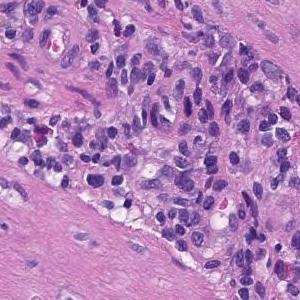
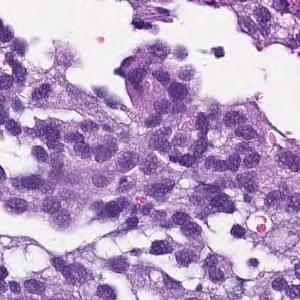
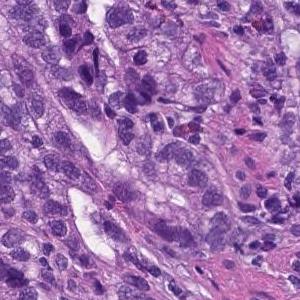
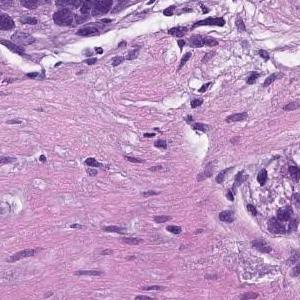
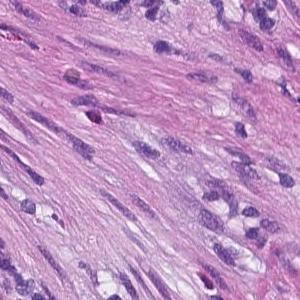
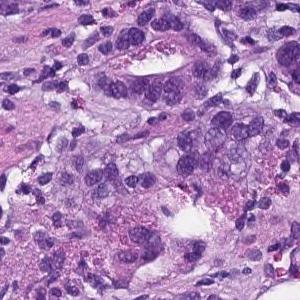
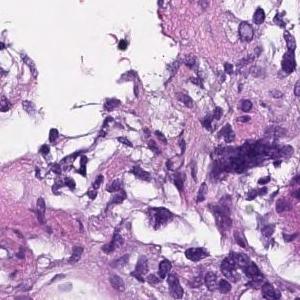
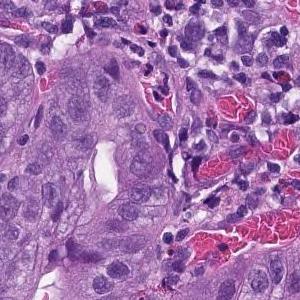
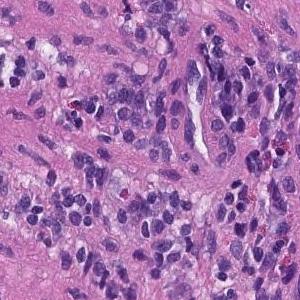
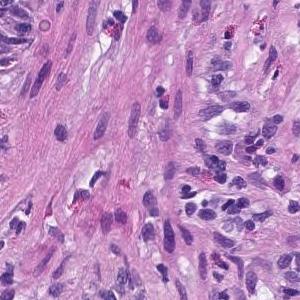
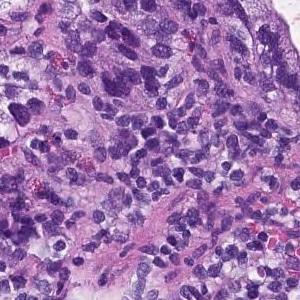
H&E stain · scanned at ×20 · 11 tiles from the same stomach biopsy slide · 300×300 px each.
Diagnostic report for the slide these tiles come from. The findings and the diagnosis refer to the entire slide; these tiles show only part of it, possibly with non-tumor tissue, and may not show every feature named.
From the superficial epithelium to the muscularis mucosae, tumor tissue consisting of medium-sized and irregular glandular ducts infiltrating is observed. Well differentiated tubular adenocarcinoma
